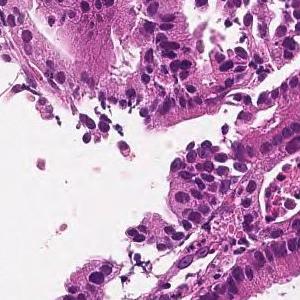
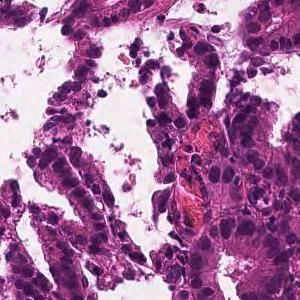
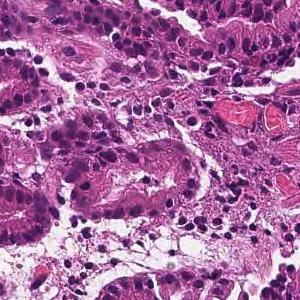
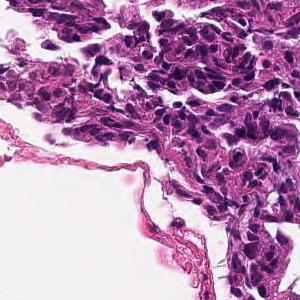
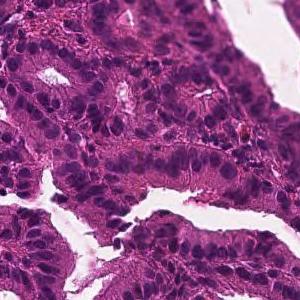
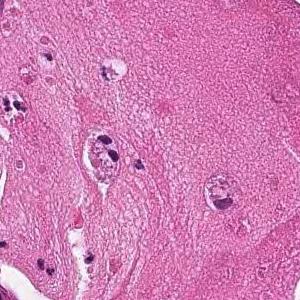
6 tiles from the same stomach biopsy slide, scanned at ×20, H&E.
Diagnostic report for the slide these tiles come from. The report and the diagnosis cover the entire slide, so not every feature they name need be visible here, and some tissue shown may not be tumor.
From the superficial epithelium to the muscularis mucosae, tumor tissue consisting of medium-sized and irregular glandular ducts infiltrating is observed. Well differentiated tubular adenocarcinoma
